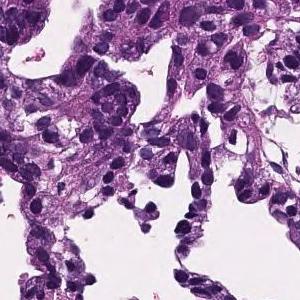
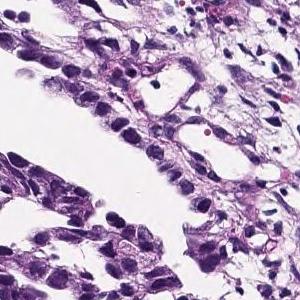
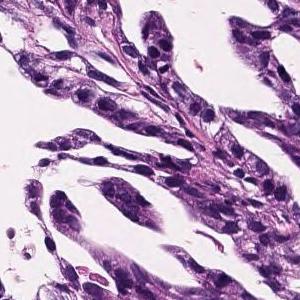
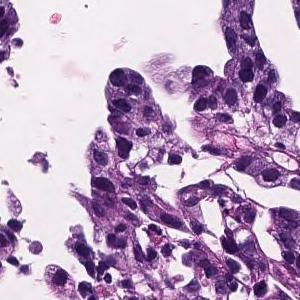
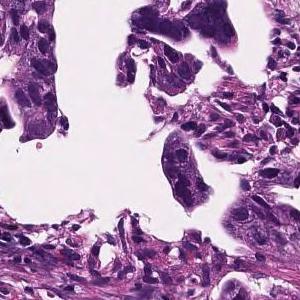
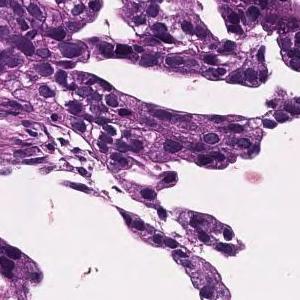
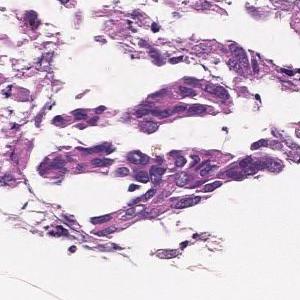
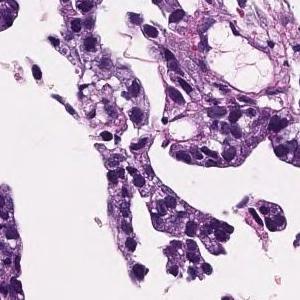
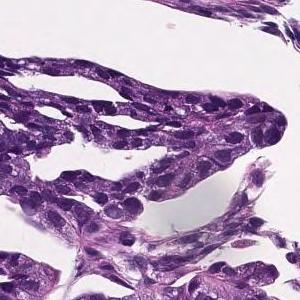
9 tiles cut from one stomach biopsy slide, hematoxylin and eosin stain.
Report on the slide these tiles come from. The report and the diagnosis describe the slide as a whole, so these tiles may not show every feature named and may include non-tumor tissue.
In the lamina propria, tumor tissue that invades by forming medium-sized to small, irregular glandular ducts is observed. moderately differentiated tubular adenocarcinoma
